Hematoxylin and eosin stain, scanned at ×20, 9 tiles cut from one stomach biopsy slide, 300 × 300 pixels each.
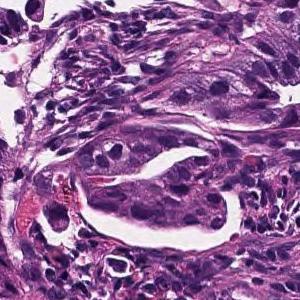
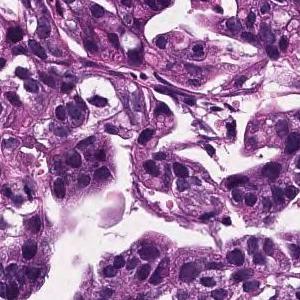
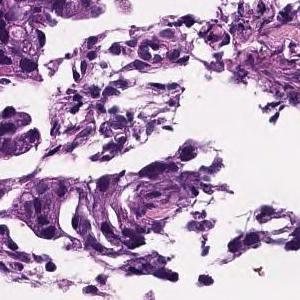
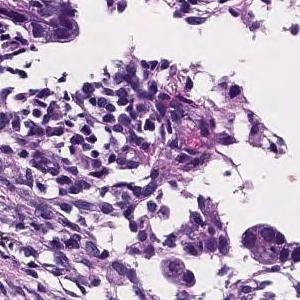
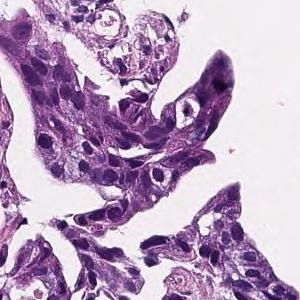
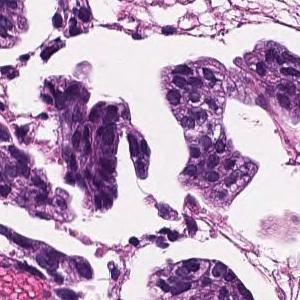
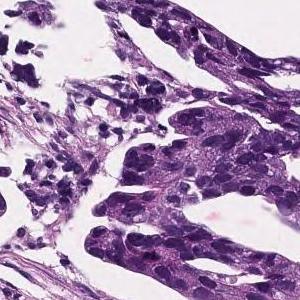
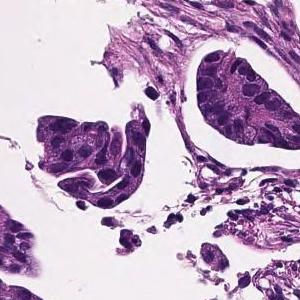
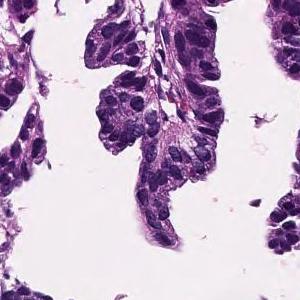
The pathologist's report on the biopsy slide these tiles were taken from. The report describes the whole slide, diagnosis included: not every finding it names need appear in these tiles, which may also show non-tumor tissue.
In the lamina propria, tumor tissue that invades by forming medium-sized to small, irregular glandular ducts is observed. moderately differentiated tubular adenocarcinoma
